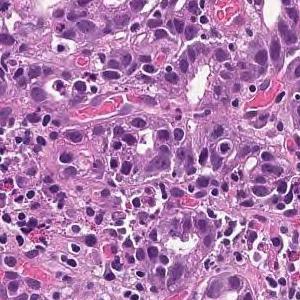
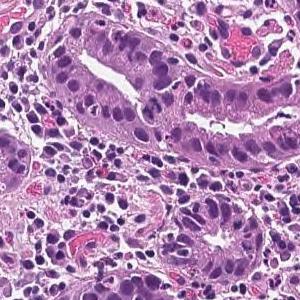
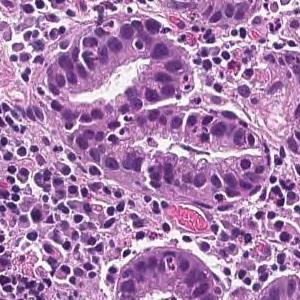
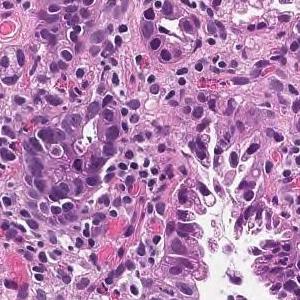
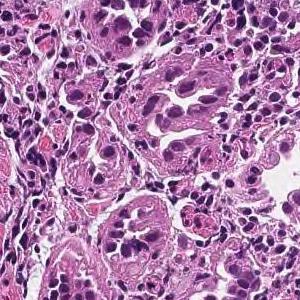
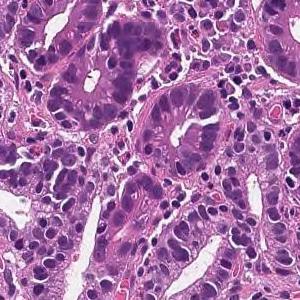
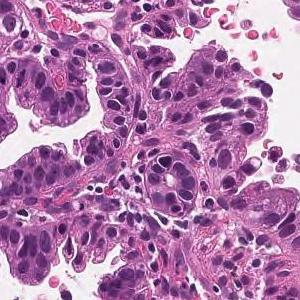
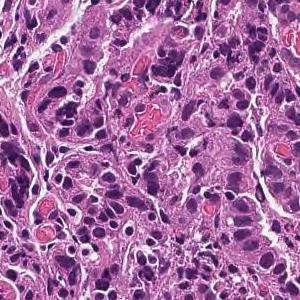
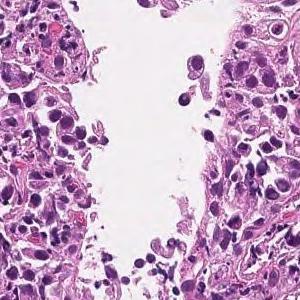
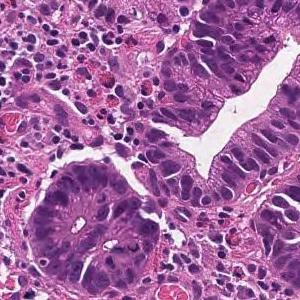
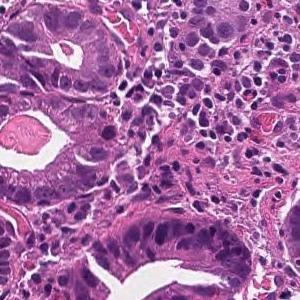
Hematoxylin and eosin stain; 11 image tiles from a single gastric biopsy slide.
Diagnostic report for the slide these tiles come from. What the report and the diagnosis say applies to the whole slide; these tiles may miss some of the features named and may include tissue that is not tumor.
On the superficial epithelium, tumor tissue consisting of large irregular glandular ducts partially fused and infiltrated is observed. Well to moderately differentiated tubular adenocarcinoma (well differentiated tubular adenocarcinoma, moderately differentiated tubular adenocarcinoma)
Classified as well to moderately differentiated tubular adenocarcinoma.
